H&E, 15 tiles from the same stomach biopsy slide, 300×300 px each.
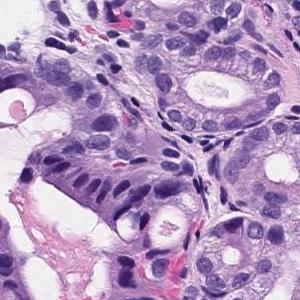
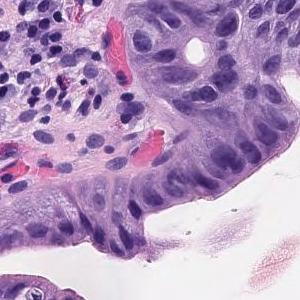
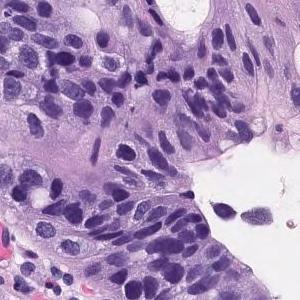
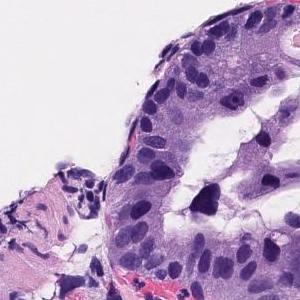
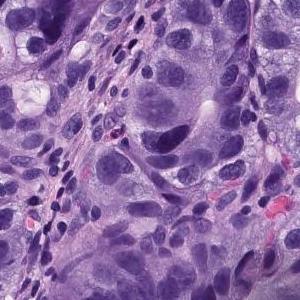
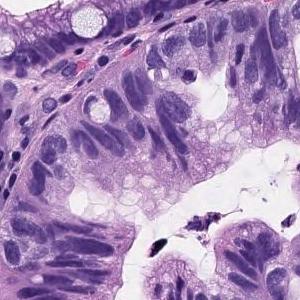
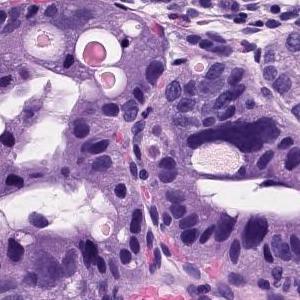
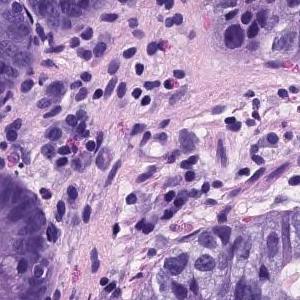
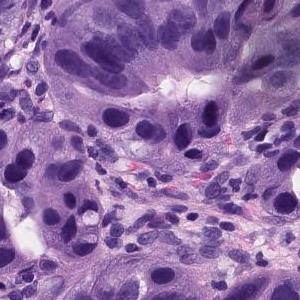
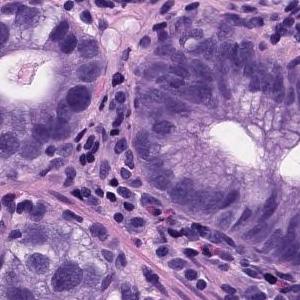
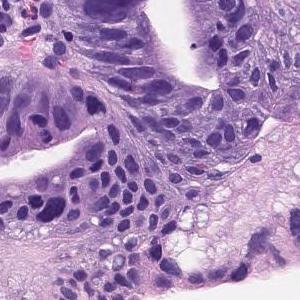
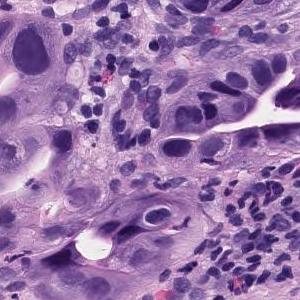
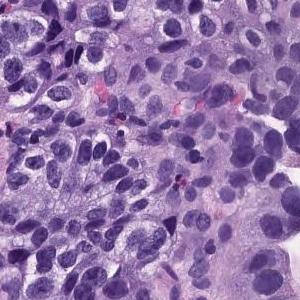
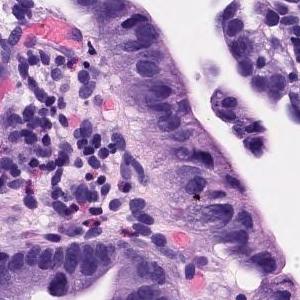
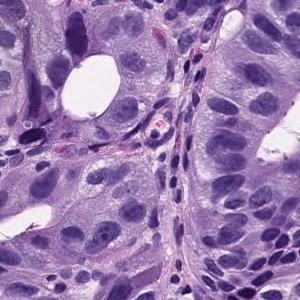
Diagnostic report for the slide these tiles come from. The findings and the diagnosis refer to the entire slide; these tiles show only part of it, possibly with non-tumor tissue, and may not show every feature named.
Proliferation of atypical tubules is observed in surface epithelium. Tubules form back-to-back structure. Tubules exhibit glandular budding, nuclear enlargement, cellular atypia. Well differentiated tubular adenocarcinoma.
